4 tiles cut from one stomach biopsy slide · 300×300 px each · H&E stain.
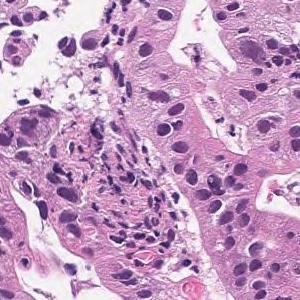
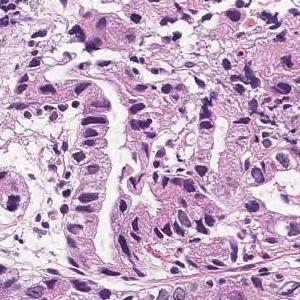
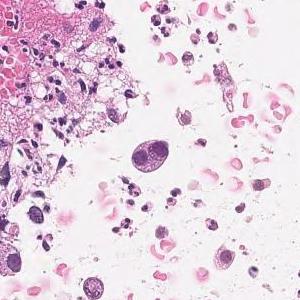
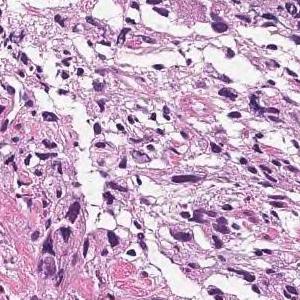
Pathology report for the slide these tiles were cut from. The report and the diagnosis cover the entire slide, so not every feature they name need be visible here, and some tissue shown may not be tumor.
Tumor tissue that grows by forming gland ducts from the surface layer to the submucosa is observed. moderately differentiated tubular adenocarcinoma
